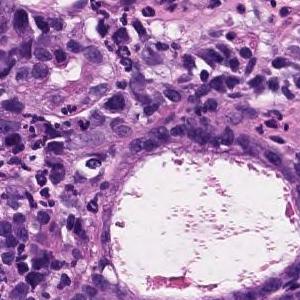
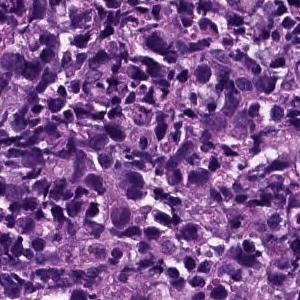
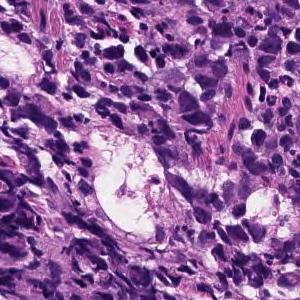
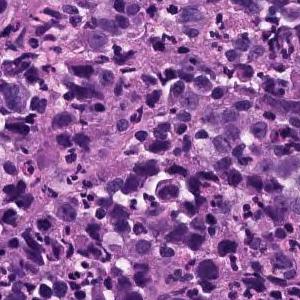
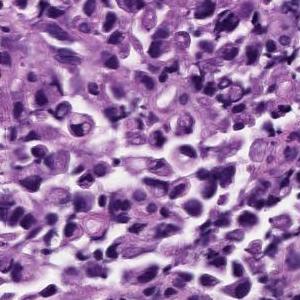
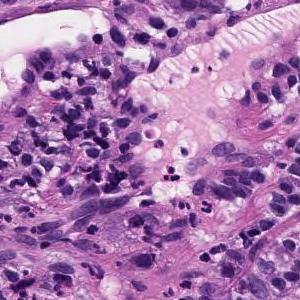
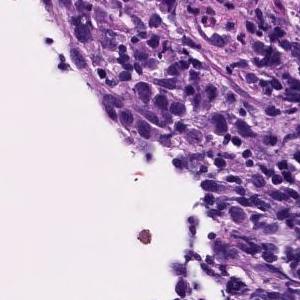
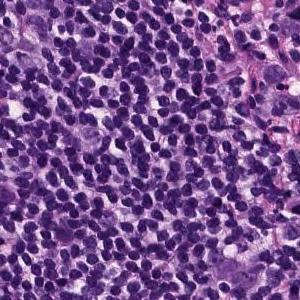
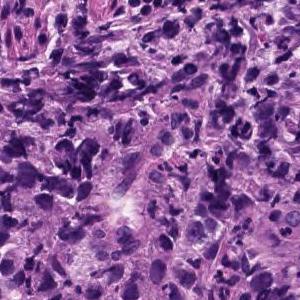
Scanned at ×20, 9 patches cut from one gastric biopsy slide.
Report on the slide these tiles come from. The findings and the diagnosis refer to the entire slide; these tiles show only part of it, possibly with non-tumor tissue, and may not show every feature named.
Poorly differentiated, solid adenocarcinoma (poorly differentiated adenocarcinoma, solid type) with tumor tissue diffusely infiltrated with atypical epithelial cells
Histologic type: Poorly differentiated adenocarcinoma, solid type (Japanese Classification of Gastric Carcinoma). The WHO 2019 equivalent is tubular adenocarcinoma, poorly differentiated.
